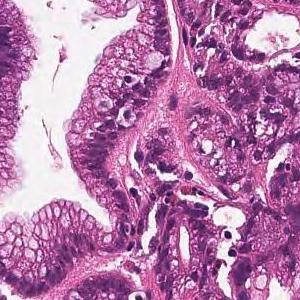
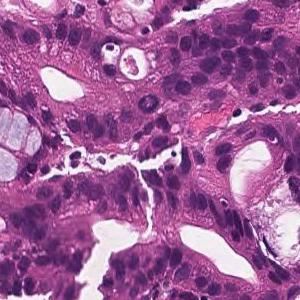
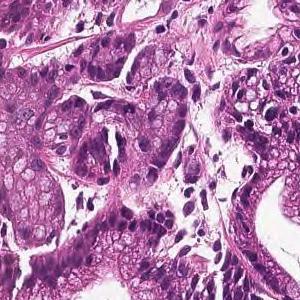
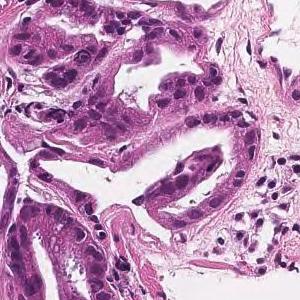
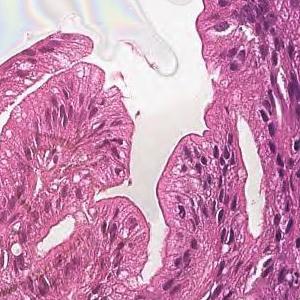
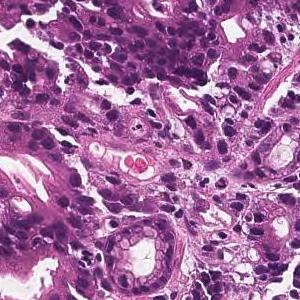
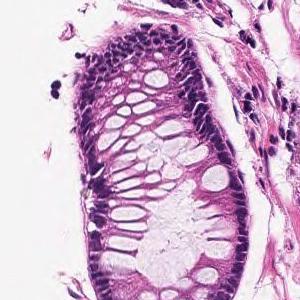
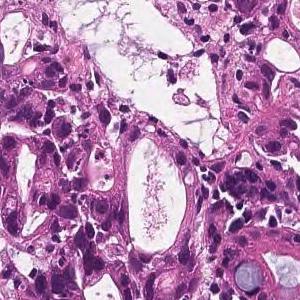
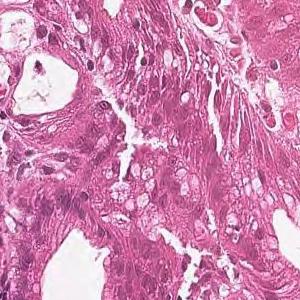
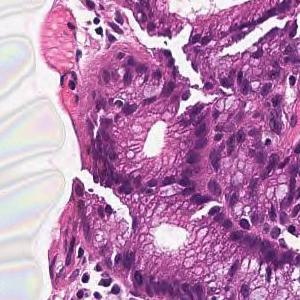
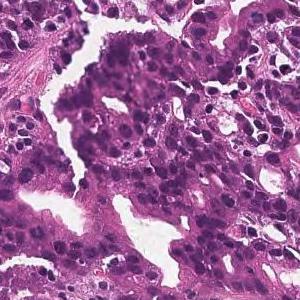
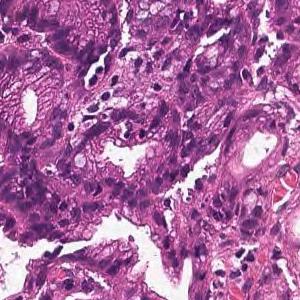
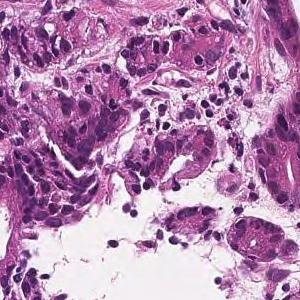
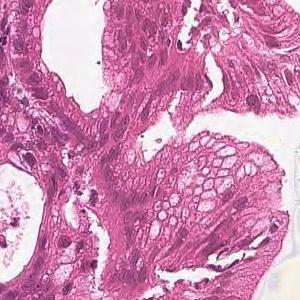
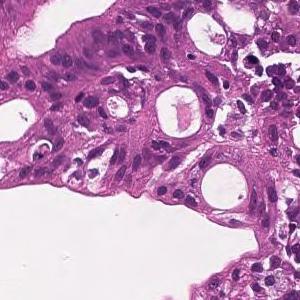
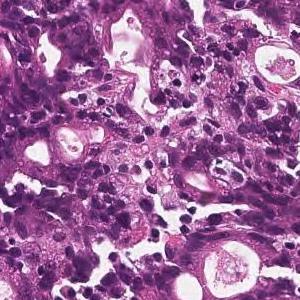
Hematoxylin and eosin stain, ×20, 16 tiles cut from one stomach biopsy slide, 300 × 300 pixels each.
The pathologist's report on the biopsy slide these tiles were taken from. The report and the diagnosis cover the entire slide, so not every feature they name need be visible here, and some tissue shown may not be tumor.
In the superficial epithelium, tumor tissue that invades by forming medium-sized to small, irregular ducts is observed. moderately differentiated tubular adenocarcinoma.
